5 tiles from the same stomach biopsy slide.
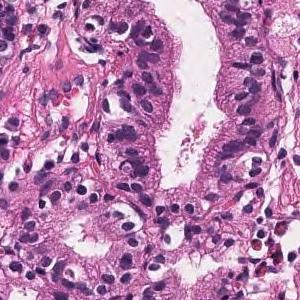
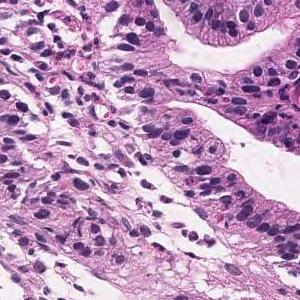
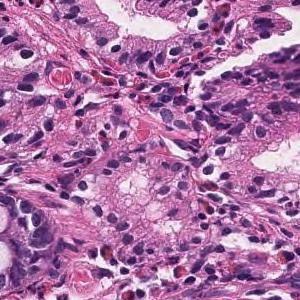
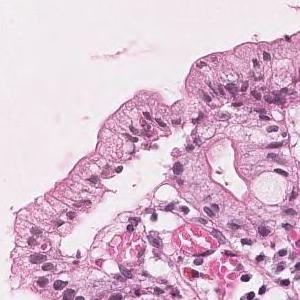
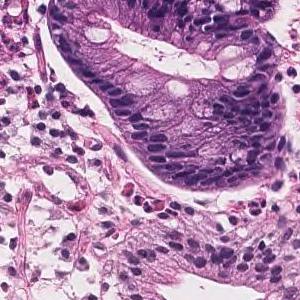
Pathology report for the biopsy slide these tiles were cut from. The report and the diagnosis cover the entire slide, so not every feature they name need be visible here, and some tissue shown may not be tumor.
On the superficial epithelium, tumor tissue consisting of large, irregular glandular ducts partially fused and infiltrated is observed. Well differentiated tubular adenocarcinoma
